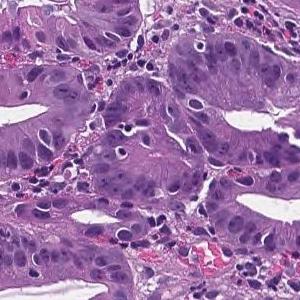
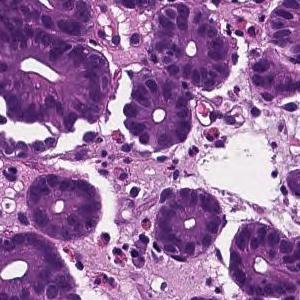
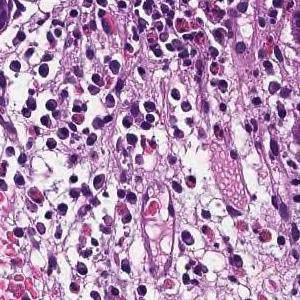
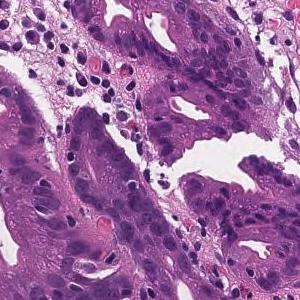
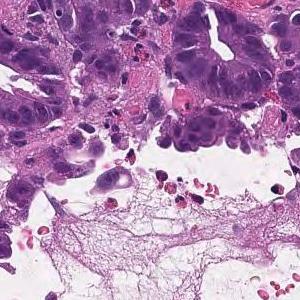
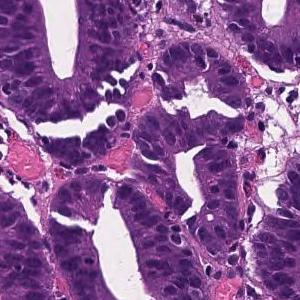
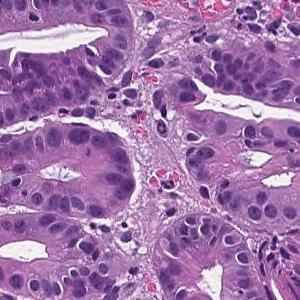
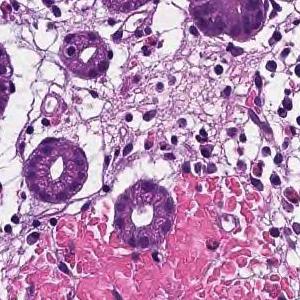
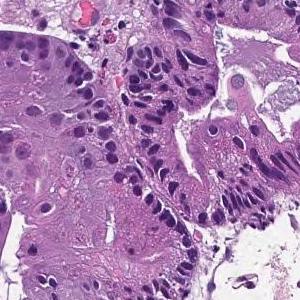
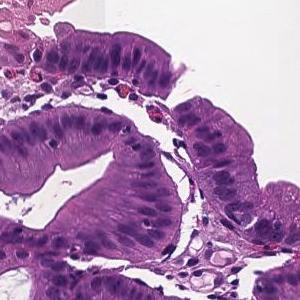
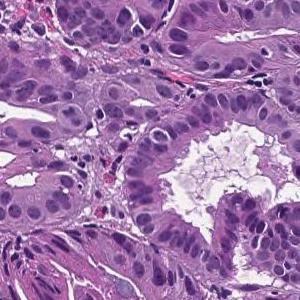
11 image tiles from a single gastric biopsy slide; 300×300 px each; hematoxylin and eosin stain; scanned at ×20.
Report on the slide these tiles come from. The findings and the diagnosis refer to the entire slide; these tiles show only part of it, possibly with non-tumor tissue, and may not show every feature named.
From the superficial epithelium to the muscularis mucosae, tumor tissue consisting of medium-sized and irregular glandular ducts infiltrating is observed. Well differentiated tubular adenocarcinoma
